16 tiles from the same stomach biopsy slide; H&E.
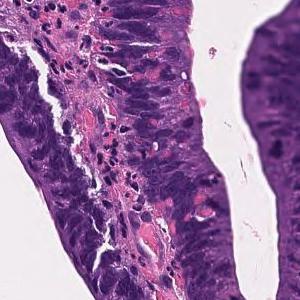
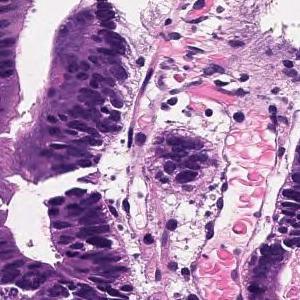
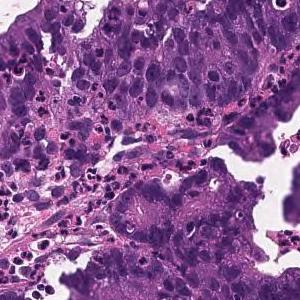
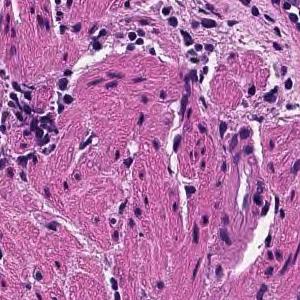
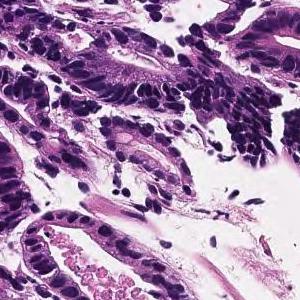
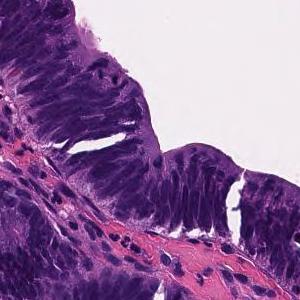
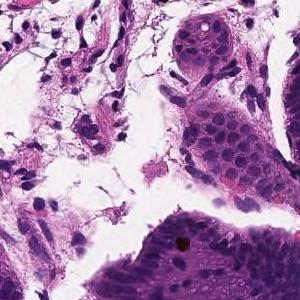
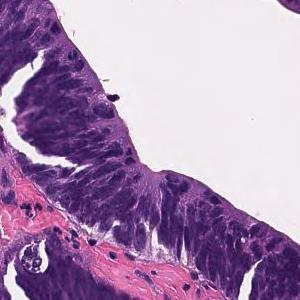
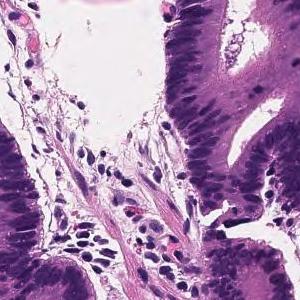
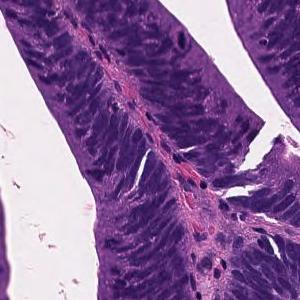
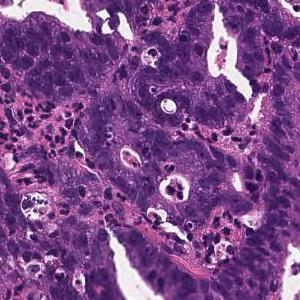
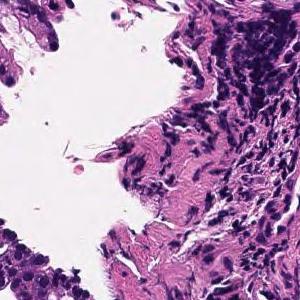
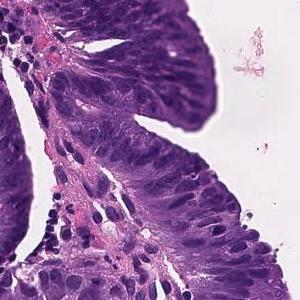
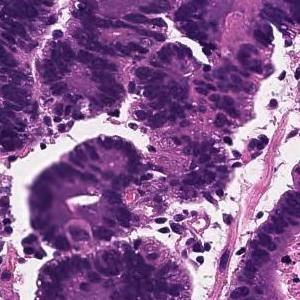
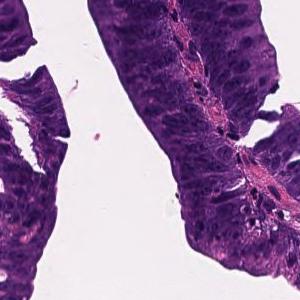
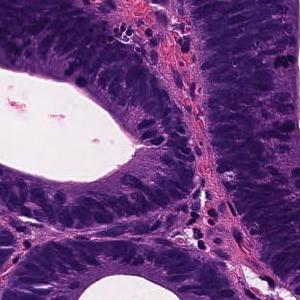
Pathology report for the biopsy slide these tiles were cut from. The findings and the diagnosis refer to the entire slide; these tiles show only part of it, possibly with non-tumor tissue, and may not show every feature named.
Tumor tissue consisting of large papillary structures is found in the superficial epithelium. Papillary adenocarcinoma.
